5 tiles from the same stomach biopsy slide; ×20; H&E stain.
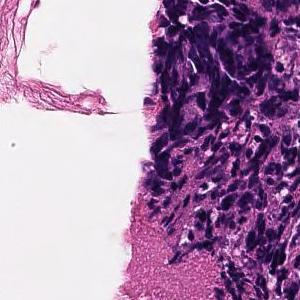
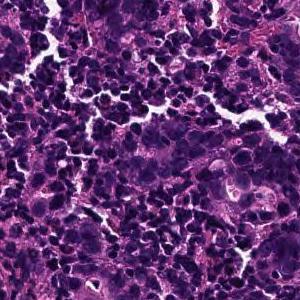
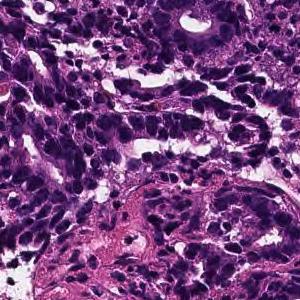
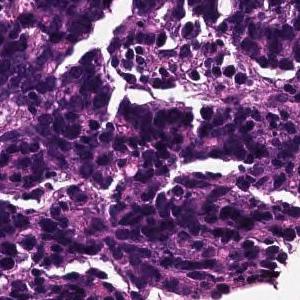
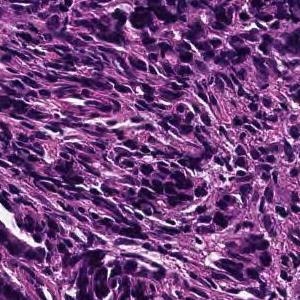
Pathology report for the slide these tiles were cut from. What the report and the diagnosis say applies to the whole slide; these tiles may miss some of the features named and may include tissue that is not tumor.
On the superficial epithelium, tumor tissue is found in which medium-sized irregular gland ducts fuse with each other and infiltrate. moderately differentiated tubular adenocarcinoma or Poorly differentiated adenocarcinoma, non-solid type
Histologic type: Moderately to poorly differentiated adenocarcinoma.
"Non-solid type" is a category of the Japanese Classification of Gastric Carcinoma.
